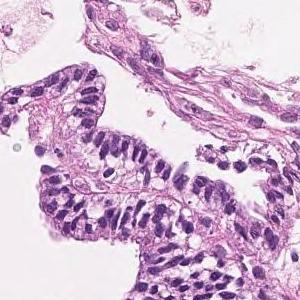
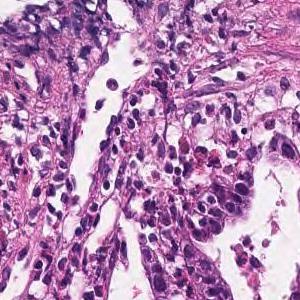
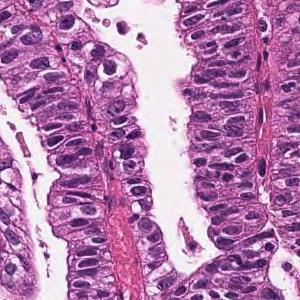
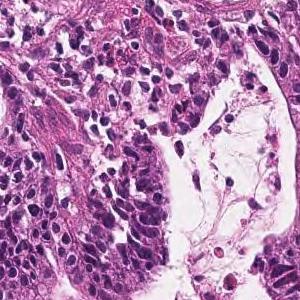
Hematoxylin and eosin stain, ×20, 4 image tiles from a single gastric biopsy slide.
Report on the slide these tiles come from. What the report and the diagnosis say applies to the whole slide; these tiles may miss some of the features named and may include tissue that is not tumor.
Tumor cells are large, highly columnar, large club-shaped nuclei, and are associated with chromatin aggregation. Papillary adenocarcinoma.
